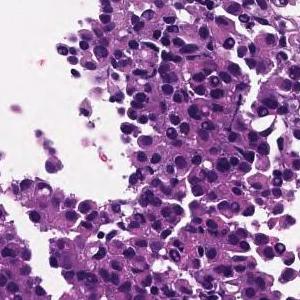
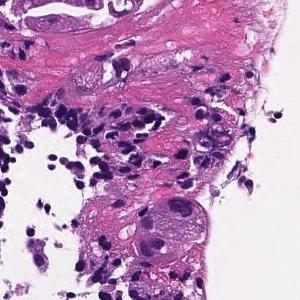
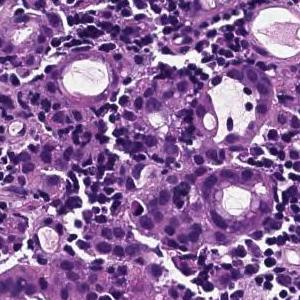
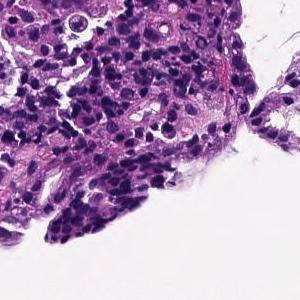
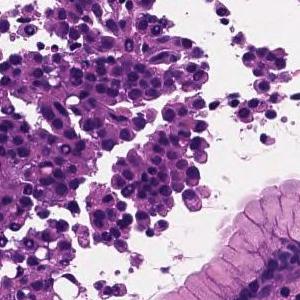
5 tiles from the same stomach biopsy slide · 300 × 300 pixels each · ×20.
Pathology report for the biopsy slide these tiles were cut from. Both the report and the diagnosis are for the whole slide: these tiles need not show every feature named, and some of the tissue shown may not be tumor.
The superficial epithelium shows a large sheet-like shape, and some tumor tissue infiltrates with small irregular ducts. Poorly differentiated adenocarcinoma, solid-type
Subtype: Poorly differentiated adenocarcinoma, solid type (Japanese Classification of Gastric Carcinoma). The WHO 2019 equivalent is tubular adenocarcinoma, poorly differentiated.
